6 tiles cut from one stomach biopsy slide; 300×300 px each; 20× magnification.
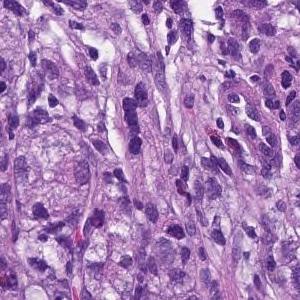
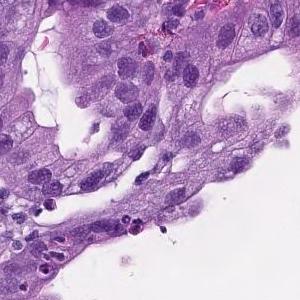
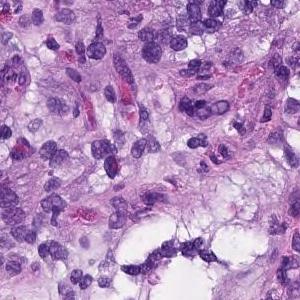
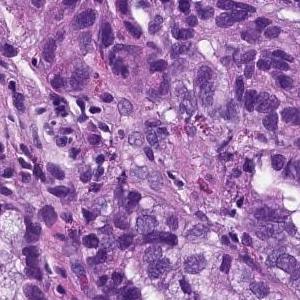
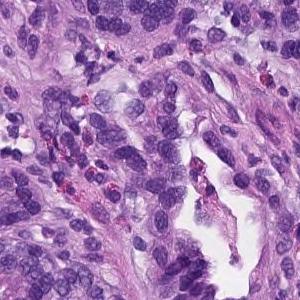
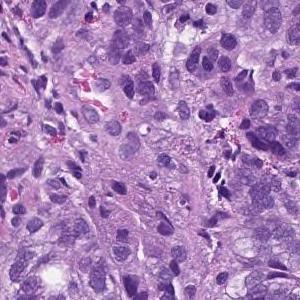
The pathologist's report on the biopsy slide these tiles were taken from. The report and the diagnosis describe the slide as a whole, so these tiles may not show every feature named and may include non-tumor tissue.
From the superficial epithelium to the muscularis mucosae, tumor tissue consisting of medium-sized and irregular glandular ducts infiltrating is observed. Well differentiated tubular adenocarcinoma
